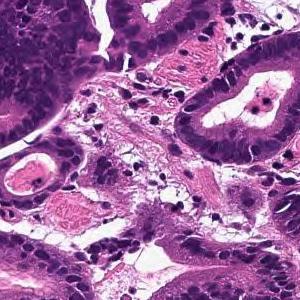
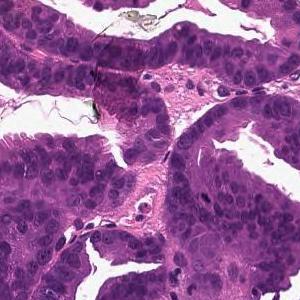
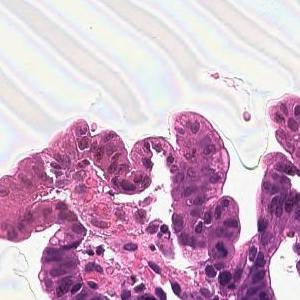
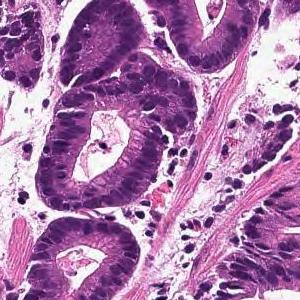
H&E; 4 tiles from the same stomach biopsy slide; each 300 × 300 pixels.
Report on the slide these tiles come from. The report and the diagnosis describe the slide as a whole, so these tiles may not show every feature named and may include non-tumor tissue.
From the superficial epithelium to the muscularis mucosae, tumor tissue consisting of medium-sized and irregular glandular ducts infiltrating is observed. Well differentiated tubular adenocarcinoma
